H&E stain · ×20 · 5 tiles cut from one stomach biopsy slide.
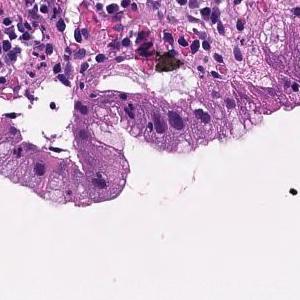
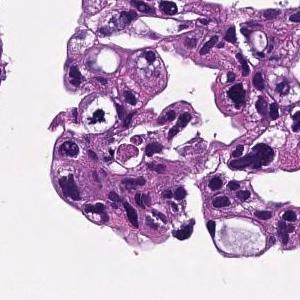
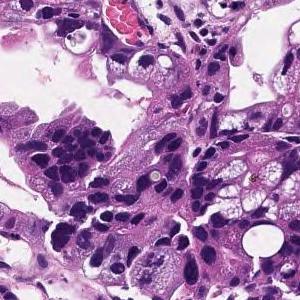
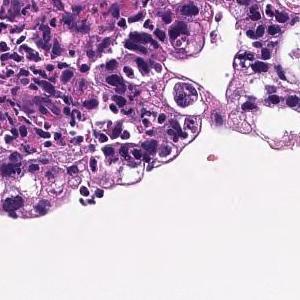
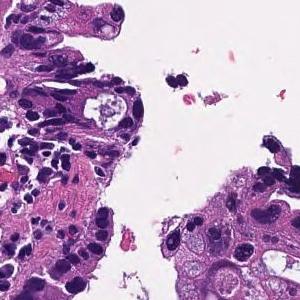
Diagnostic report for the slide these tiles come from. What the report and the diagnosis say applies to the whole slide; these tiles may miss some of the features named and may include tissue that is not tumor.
In the superficial epithelium, tumor tissue that invades by forming medium-sized to small, irregular ducts is observed. moderately differentiated tubular adenocarcinoma.
